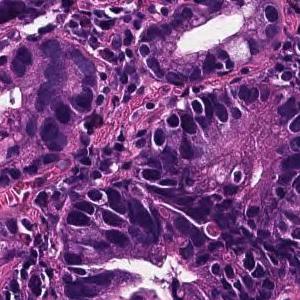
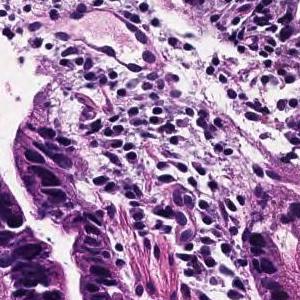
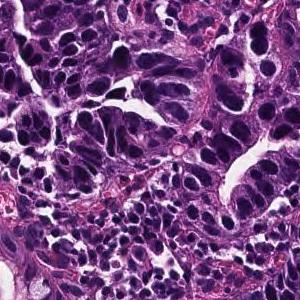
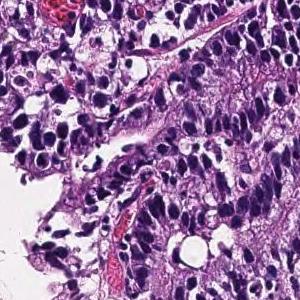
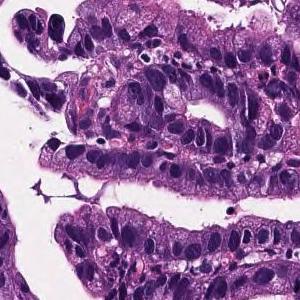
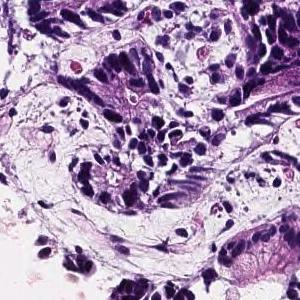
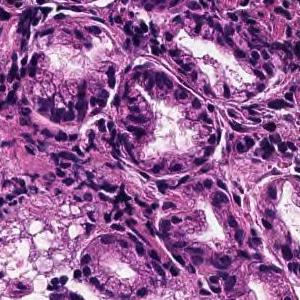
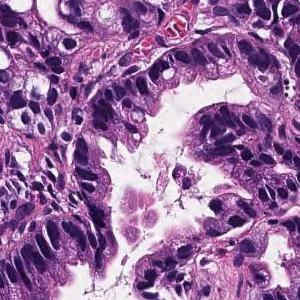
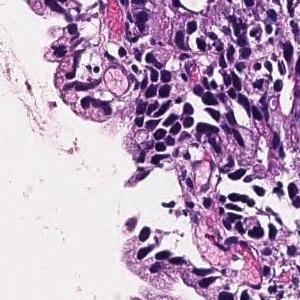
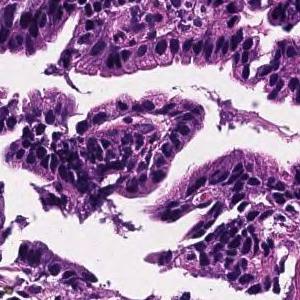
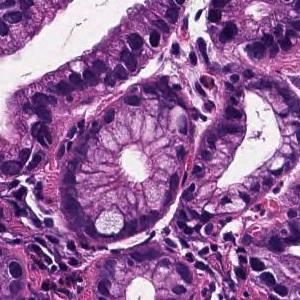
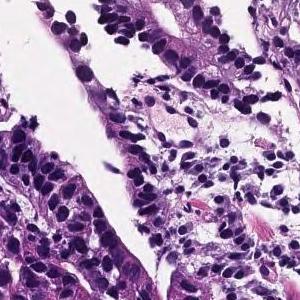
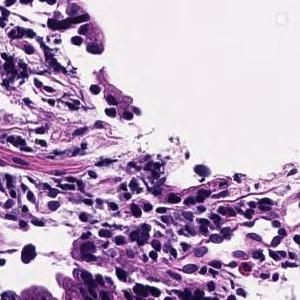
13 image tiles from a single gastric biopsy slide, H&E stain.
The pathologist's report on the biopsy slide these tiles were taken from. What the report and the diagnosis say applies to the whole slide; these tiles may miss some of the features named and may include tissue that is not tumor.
Tumor cells are large, highly columnar, large club-shaped nuclei, and are associated with chromatin aggregation. Papillary adenocarcinoma.
